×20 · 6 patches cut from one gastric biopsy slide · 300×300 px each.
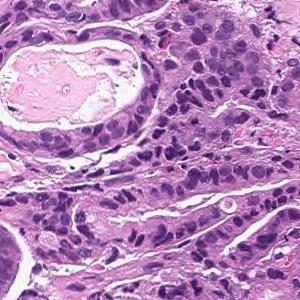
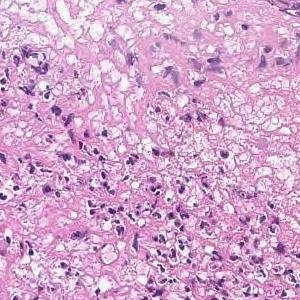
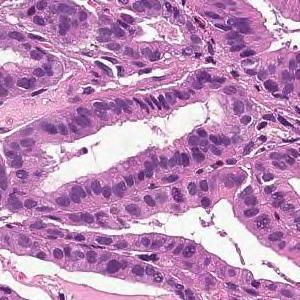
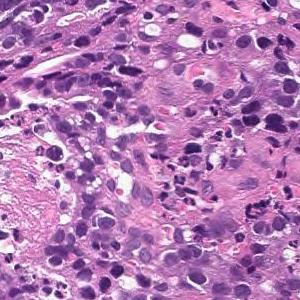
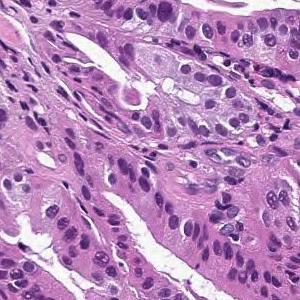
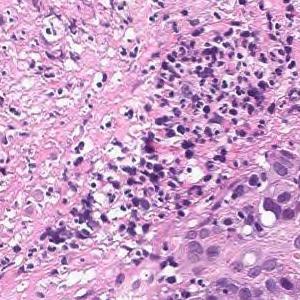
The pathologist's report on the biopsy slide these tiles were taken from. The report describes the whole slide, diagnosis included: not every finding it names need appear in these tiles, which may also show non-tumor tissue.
From the superficial epithelium to the muscularis mucosae, tumor tissue consisting of medium-sized and irregular glandular ducts infiltrating is observed. Well differentiated tubular adenocarcinoma
